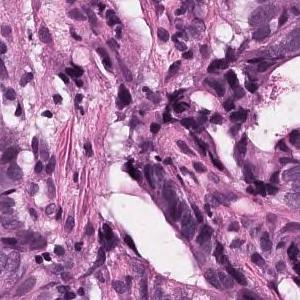
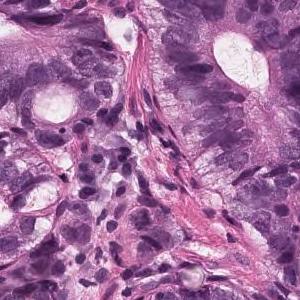
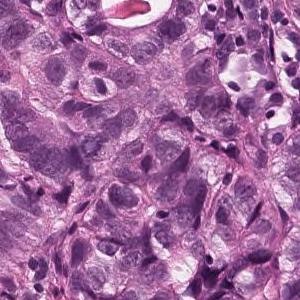
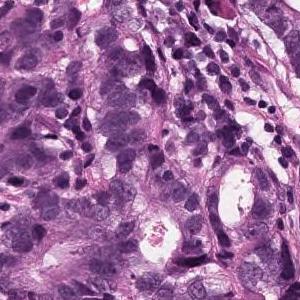
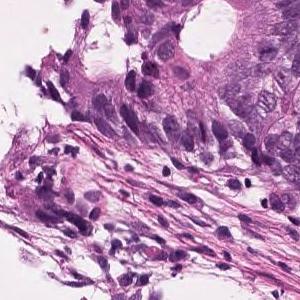
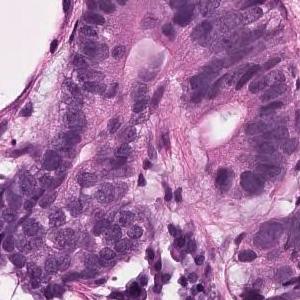
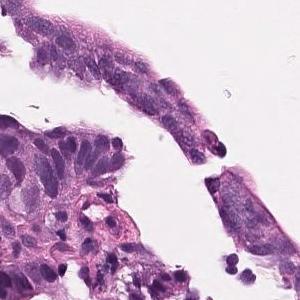
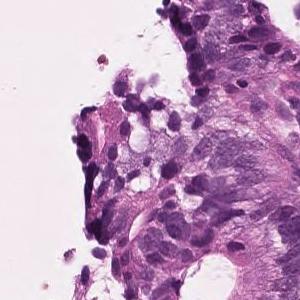
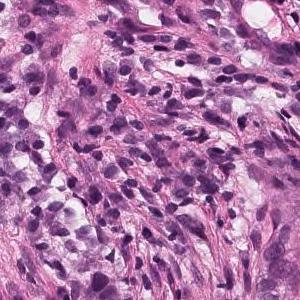
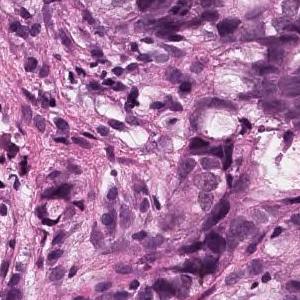
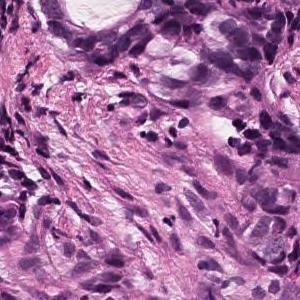
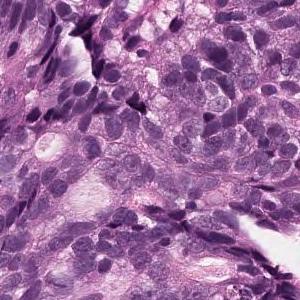
12 tiles cut from one stomach biopsy slide, H&E.
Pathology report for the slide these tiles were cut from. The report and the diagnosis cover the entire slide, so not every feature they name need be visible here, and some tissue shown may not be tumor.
On the superficial epithelium, tumor tissue consisting of large, irregular glandular ducts partially fused and infiltrated is observed. Well to moderately differentiated tubular adenocarcinoma (well differentiated tubular adenocarcinoma, moderately differentiated tubular adenocarcinoma)
Tumor subtype: well to moderately differentiated tubular adenocarcinoma.
